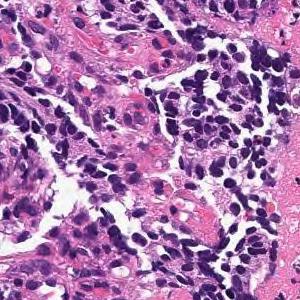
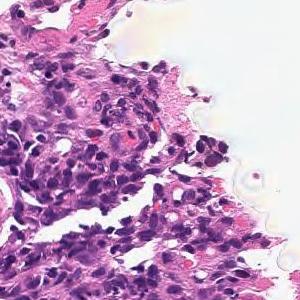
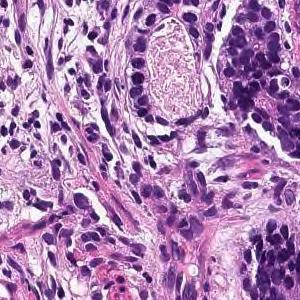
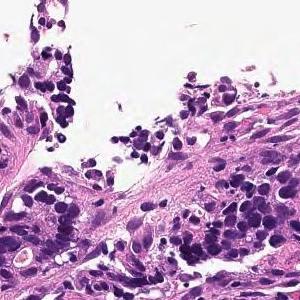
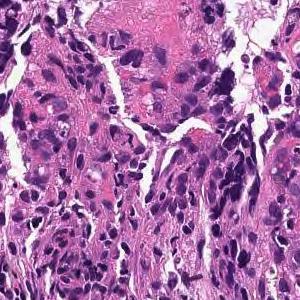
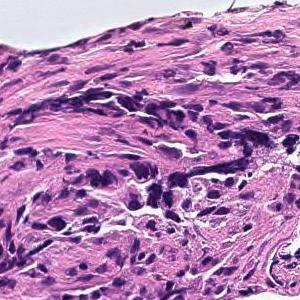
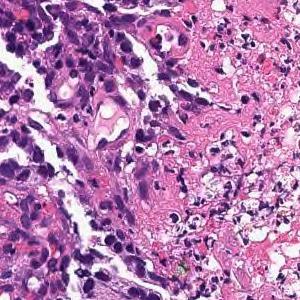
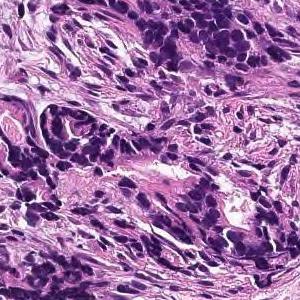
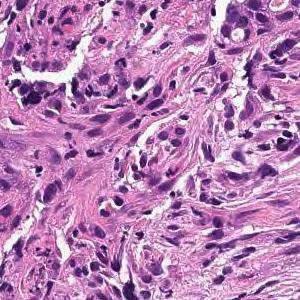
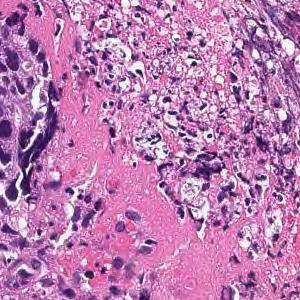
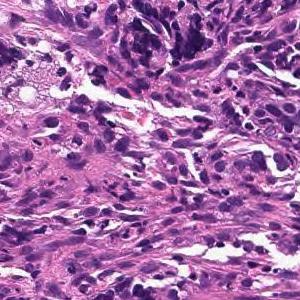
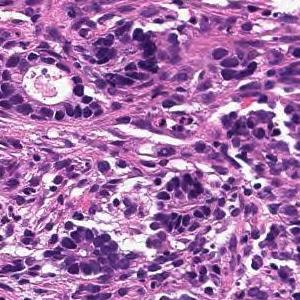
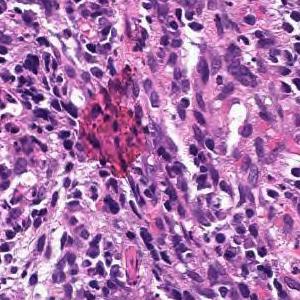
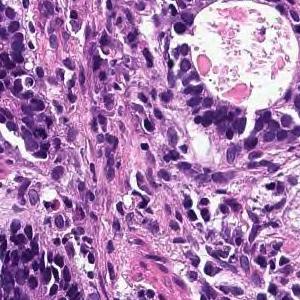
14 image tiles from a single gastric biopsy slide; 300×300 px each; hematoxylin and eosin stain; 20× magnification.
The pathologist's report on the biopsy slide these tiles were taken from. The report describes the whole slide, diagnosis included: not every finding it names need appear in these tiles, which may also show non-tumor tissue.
Tumor tissue consisting of medium-sized, cord-like or irregular glandular infiltration is observed in the superficial epithelium. Poorly differentiated adenocarcinoma, non-solid type or moderately differentiated tubular adenocarcinoma
Histological subtype: Moderately to poorly differentiated adenocarcinoma.
The term "non-solid type" comes from the Japanese Classification of Gastric Carcinoma.
